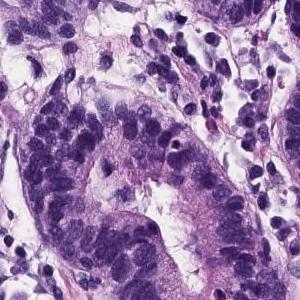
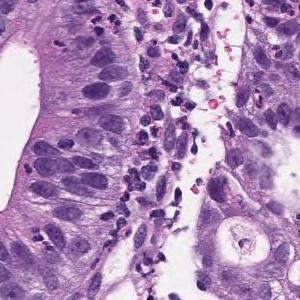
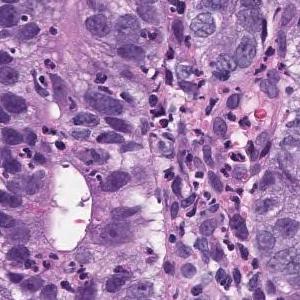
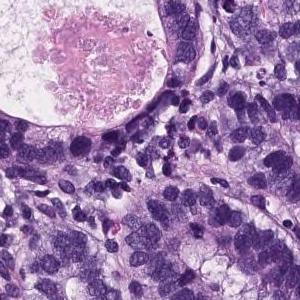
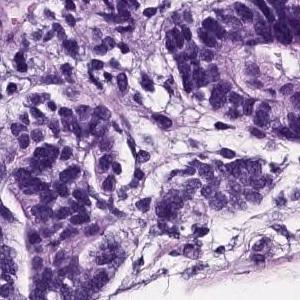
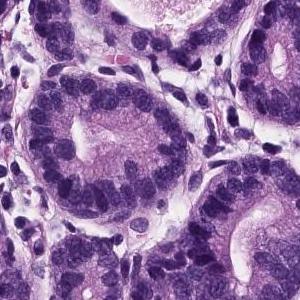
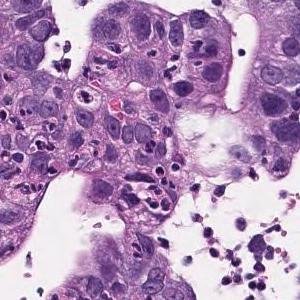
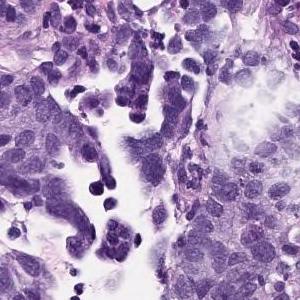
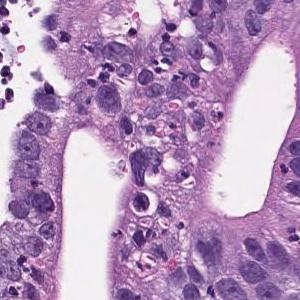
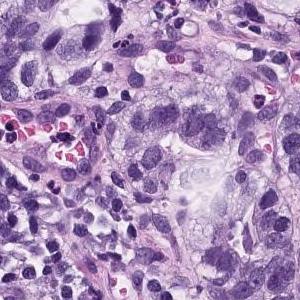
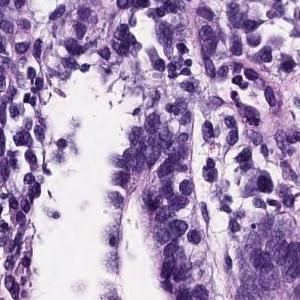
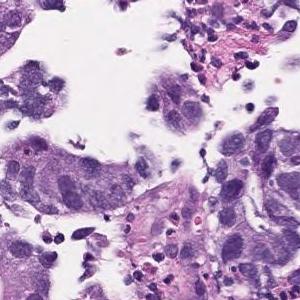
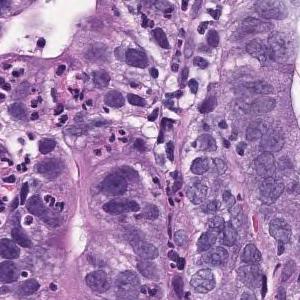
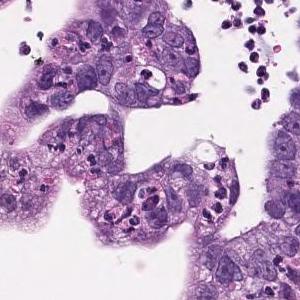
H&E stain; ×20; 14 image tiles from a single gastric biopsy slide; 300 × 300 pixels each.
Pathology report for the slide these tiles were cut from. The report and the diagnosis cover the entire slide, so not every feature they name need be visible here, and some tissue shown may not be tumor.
On the superficial epithelium, tumor tissue consisting of large, irregular glandular ducts partially fused and infiltrated is observed. Well to moderately differentiated tubular adenocarcinoma (well differentiated tubular adenocarcinoma, moderately differentiated tubular adenocarcinoma)
Labeled in the dataset as well differentiated tubular adenocarcinoma.
